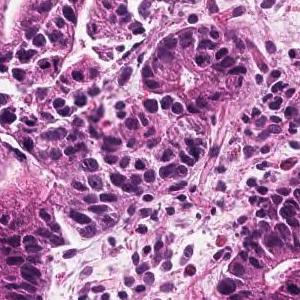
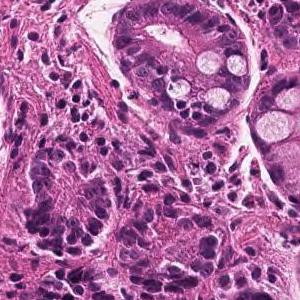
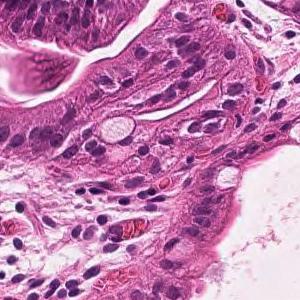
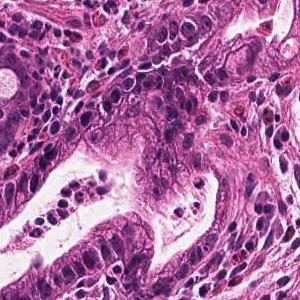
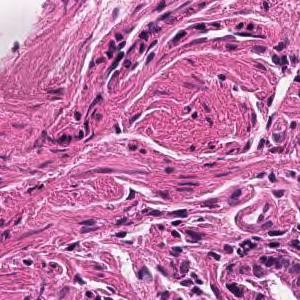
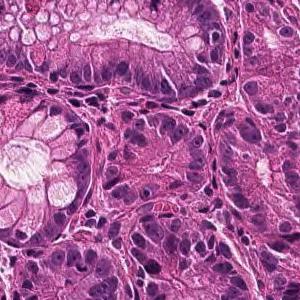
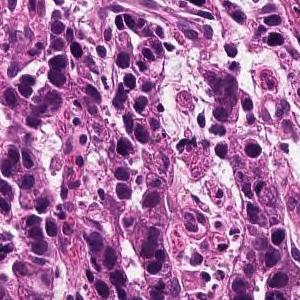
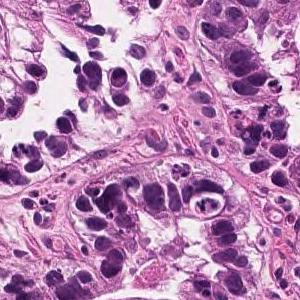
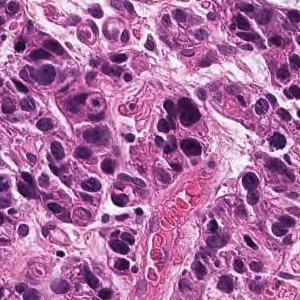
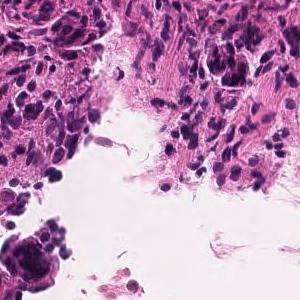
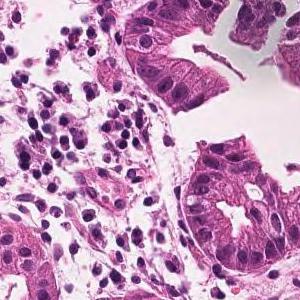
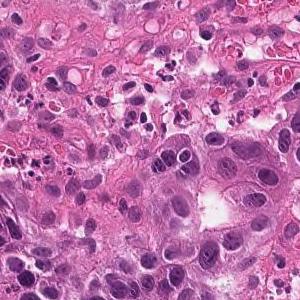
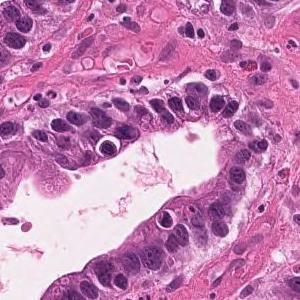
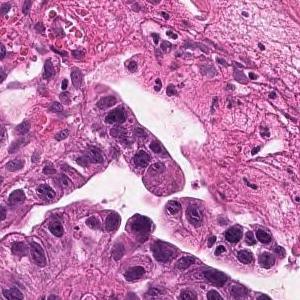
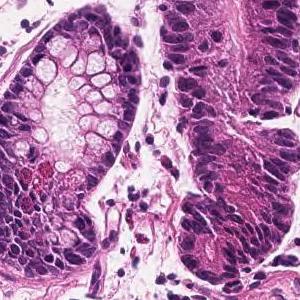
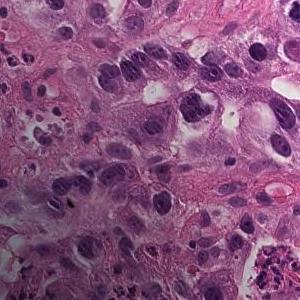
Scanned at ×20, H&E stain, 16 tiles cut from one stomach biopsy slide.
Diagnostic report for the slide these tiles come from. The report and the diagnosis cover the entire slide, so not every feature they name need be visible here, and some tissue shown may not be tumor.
Tumor tissue consisting of medium-sized, cord-like or irregular glandular infiltration is observed in the superficial epithelium. Poorly differentiated adenocarcinoma, non-solid type or moderately differentiated tubular adenocarcinoma
Histological subtype: Moderately to poorly differentiated adenocarcinoma.
The non-solid type named here is a Japanese Classification of Gastric Carcinoma category.
